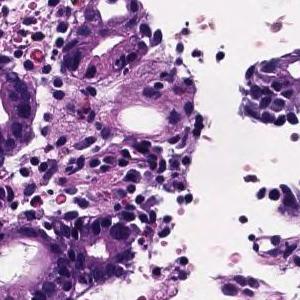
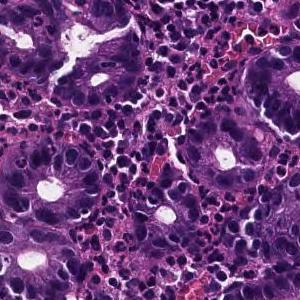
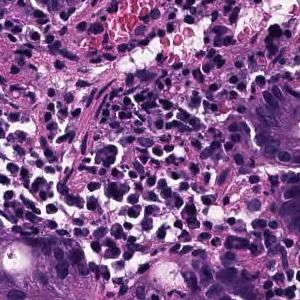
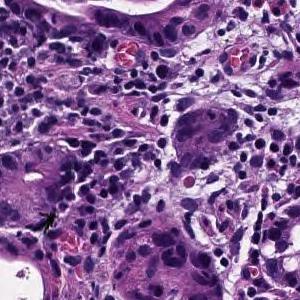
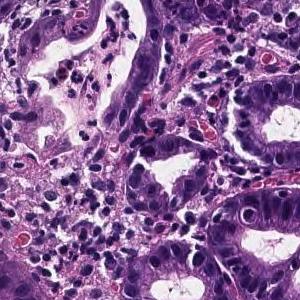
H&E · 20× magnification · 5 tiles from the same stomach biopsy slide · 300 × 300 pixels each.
Pathology report for the slide these tiles were cut from. What the report and the diagnosis say applies to the whole slide; these tiles may miss some of the features named and may include tissue that is not tumor.
In the superficial epithelium, tumor tissue that invades by forming medium-sized to small, irregular ducts is observed. moderately differentiated tubular adenocarcinoma.
